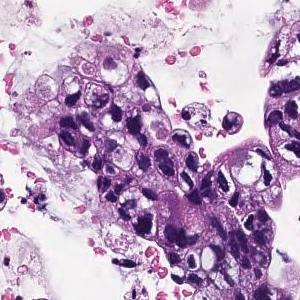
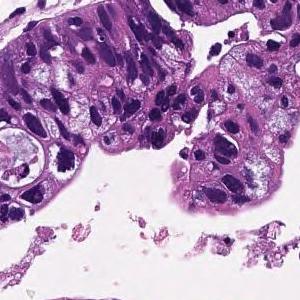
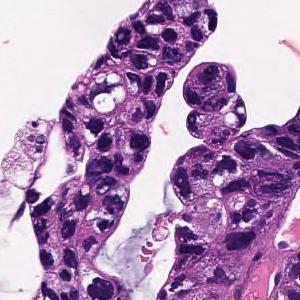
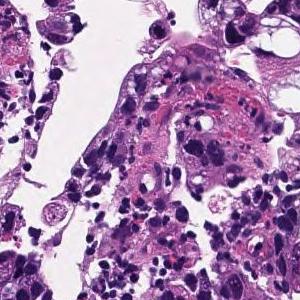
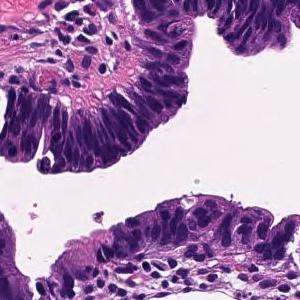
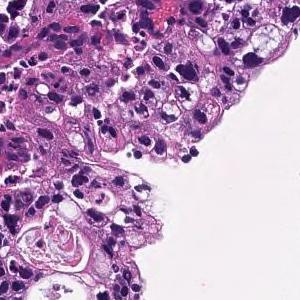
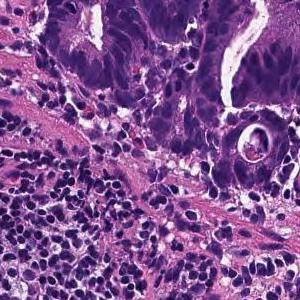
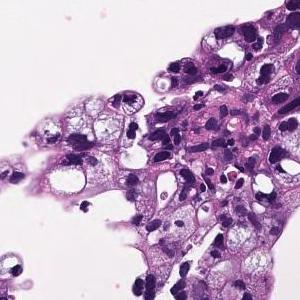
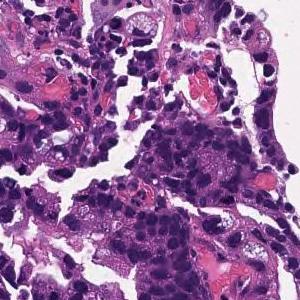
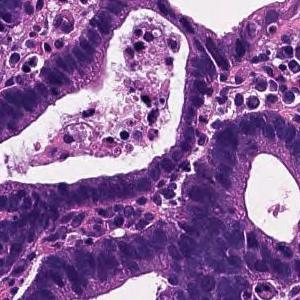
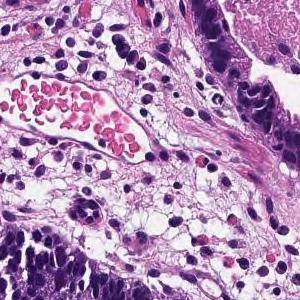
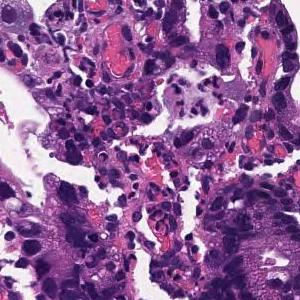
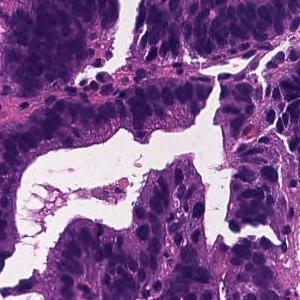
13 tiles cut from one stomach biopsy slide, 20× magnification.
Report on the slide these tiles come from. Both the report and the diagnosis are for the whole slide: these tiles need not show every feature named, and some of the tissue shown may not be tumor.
In the superficial epithelium, tumor tissue that invades by forming medium-sized to small, irregular ducts is observed. moderately differentiated tubular adenocarcinoma.
